Scanned at ×20; H&E stain; 16 image tiles from a single gastric biopsy slide.
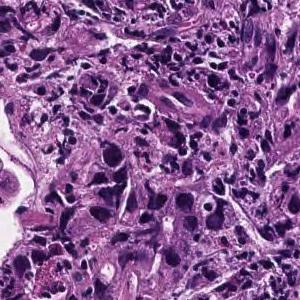
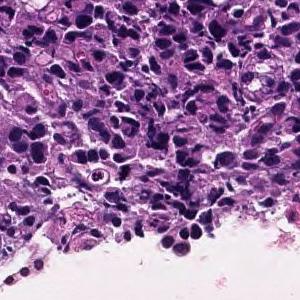
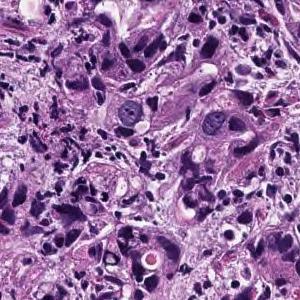
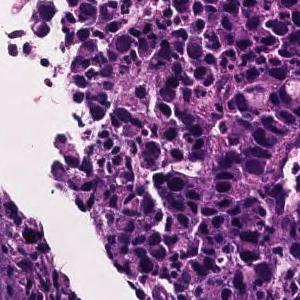
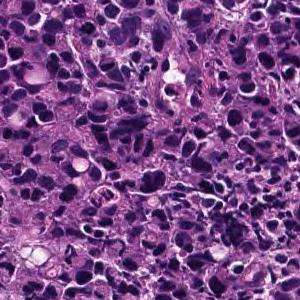
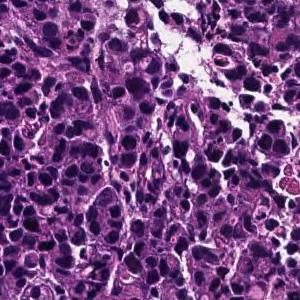
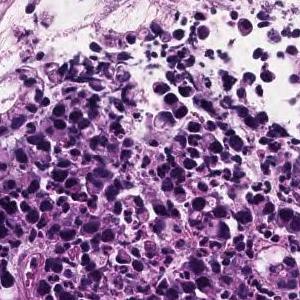
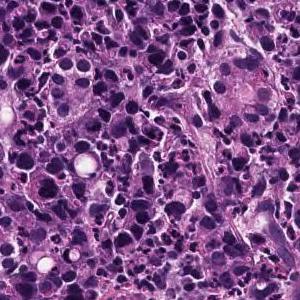
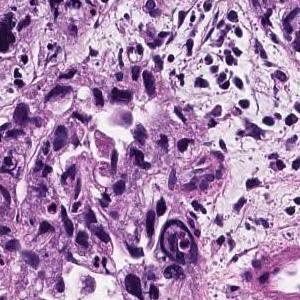
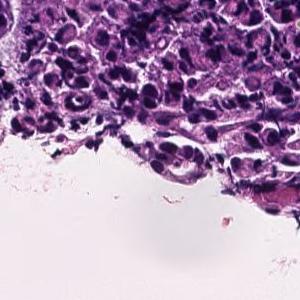
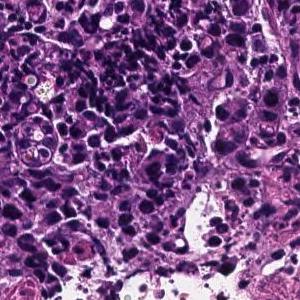
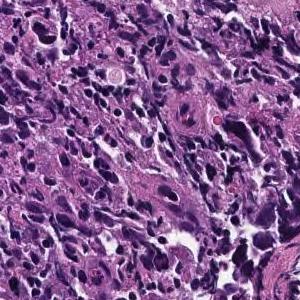
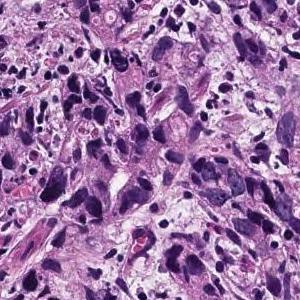
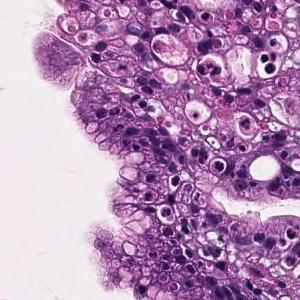
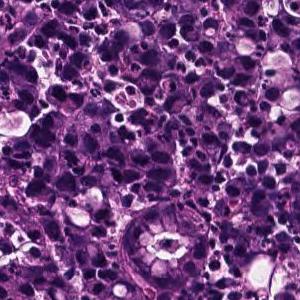
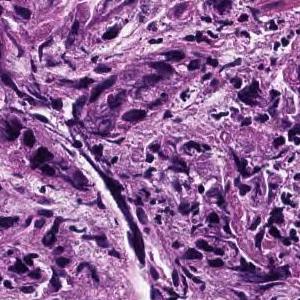
Diagnostic report for the slide these tiles come from. The findings and the diagnosis refer to the entire slide; these tiles show only part of it, possibly with non-tumor tissue, and may not show every feature named.
The superficial epithelium shows a large sheet-like shape, and some tumor tissue infiltrates with small irregular ducts. Poorly differentiated adenocarcinoma, solid-type
Histologic type: Poorly differentiated adenocarcinoma, solid type. This name comes from the Japanese Classification of Gastric Carcinoma; the WHO 2019 classification calls it tubular adenocarcinoma, poorly differentiated.
